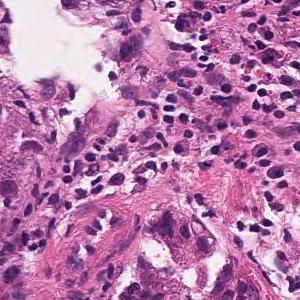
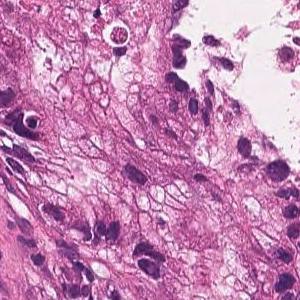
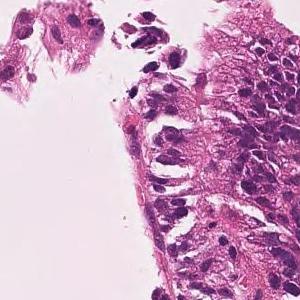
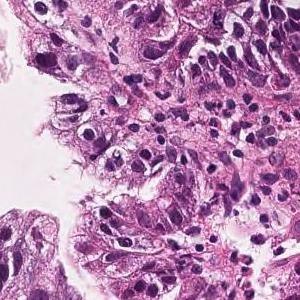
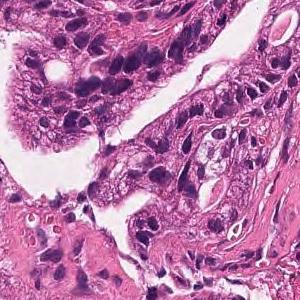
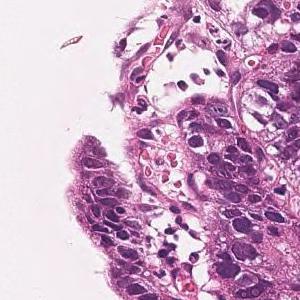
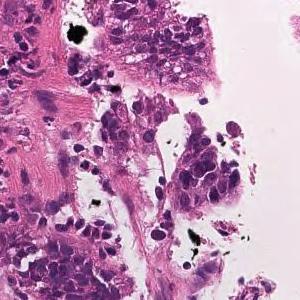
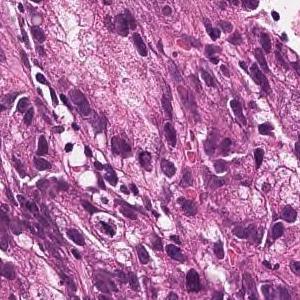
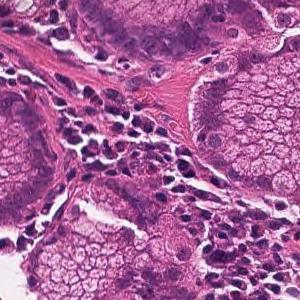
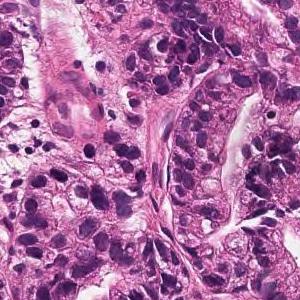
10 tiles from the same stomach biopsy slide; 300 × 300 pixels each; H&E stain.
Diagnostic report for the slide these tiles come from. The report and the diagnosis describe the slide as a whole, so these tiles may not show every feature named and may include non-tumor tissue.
On the superficial epithelium, tumor tissue consisting of large, irregular glandular ducts partially fused and infiltrated is observed. Well to moderately differentiated tubular adenocarcinoma (well differentiated tubular adenocarcinoma, moderately differentiated tubular adenocarcinoma)
Classified as well to moderately differentiated tubular adenocarcinoma.
